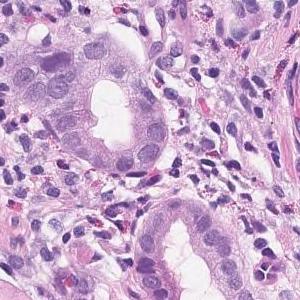
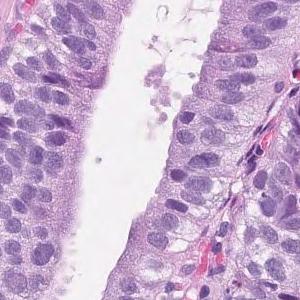
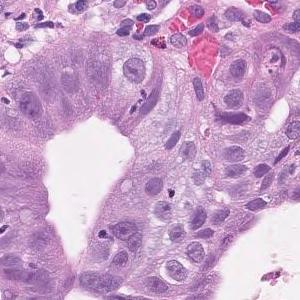
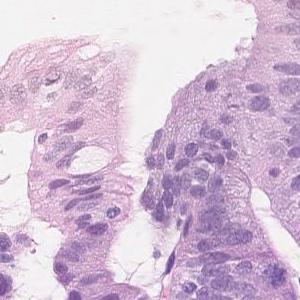
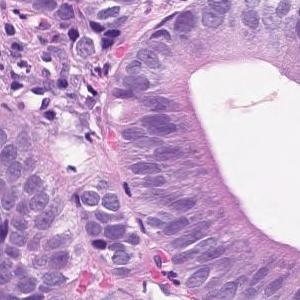
Scanned at ×20 · H&E · 5 tiles cut from one stomach biopsy slide · 300×300 px each.
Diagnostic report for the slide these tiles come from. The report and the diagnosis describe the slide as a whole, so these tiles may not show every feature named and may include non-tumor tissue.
Tumor tissue consisting of medium-sized and irregular ducts is observed infiltrating in the superficial epithelium. Tumor cells are highly columnar, with nuclei aligned basolaterally and polarized. Well differentiated tubular adenocarcinoma.
